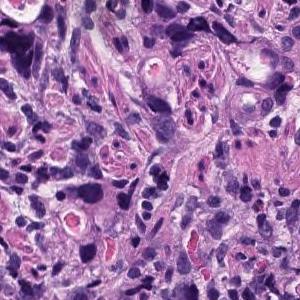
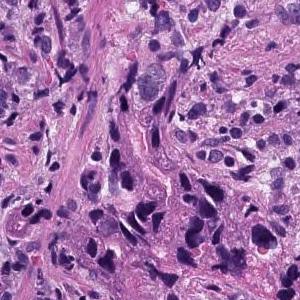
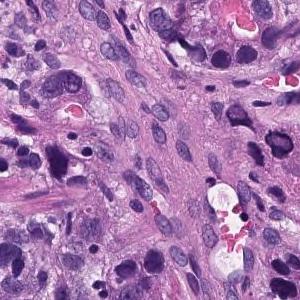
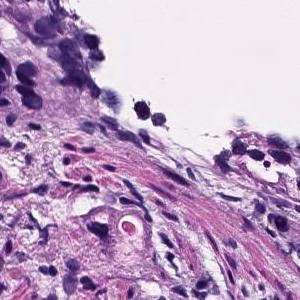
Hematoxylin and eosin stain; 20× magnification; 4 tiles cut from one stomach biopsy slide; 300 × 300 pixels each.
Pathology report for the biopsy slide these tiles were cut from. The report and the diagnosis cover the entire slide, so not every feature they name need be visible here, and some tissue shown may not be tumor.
In the epithelium, tumor tissue in which medium to small irregular gland ducts fuse with each other and infiltrate the submucosa. moderately differentiated tubular adenocarcinoma
